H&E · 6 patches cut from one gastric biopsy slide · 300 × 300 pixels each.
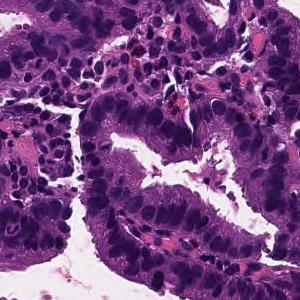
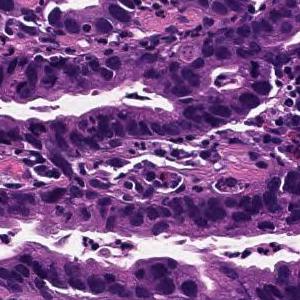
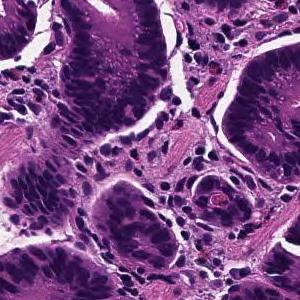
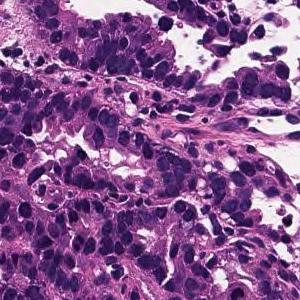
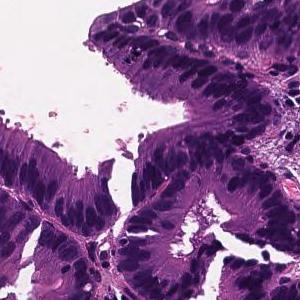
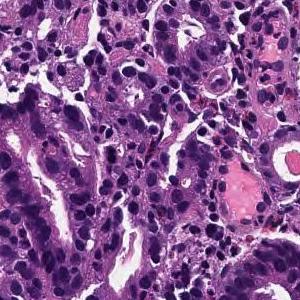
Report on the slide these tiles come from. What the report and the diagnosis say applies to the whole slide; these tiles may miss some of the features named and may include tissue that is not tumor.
On the superficial epithelium, tumor tissue is found in which medium-sized irregular gland ducts fuse with each other and infiltrate. moderately differentiated tubular adenocarcinoma
